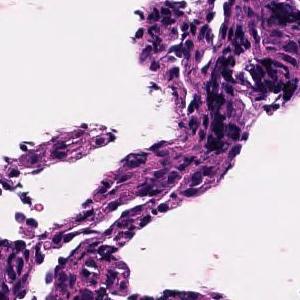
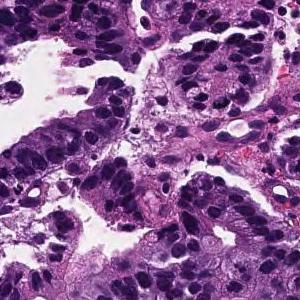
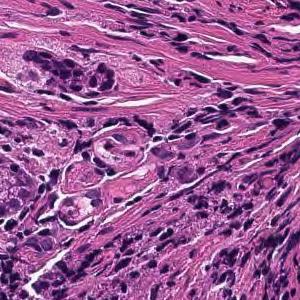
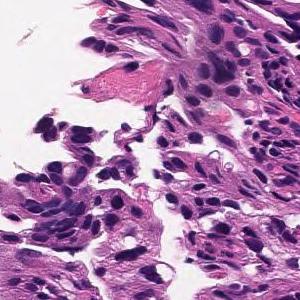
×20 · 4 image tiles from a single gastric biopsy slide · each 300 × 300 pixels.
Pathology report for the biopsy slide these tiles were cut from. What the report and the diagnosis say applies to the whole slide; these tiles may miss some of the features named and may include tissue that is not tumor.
From the superficial epithelium to the muscularis mucosae, tumor tissue consisting of medium-sized and irregular glandular ducts infiltrating is observed. Well differentiated tubular adenocarcinoma
